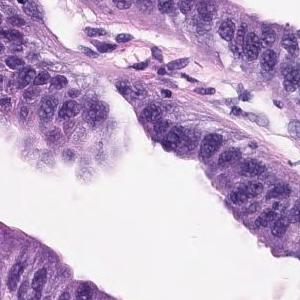
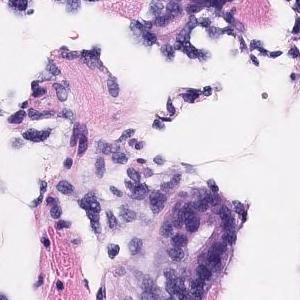
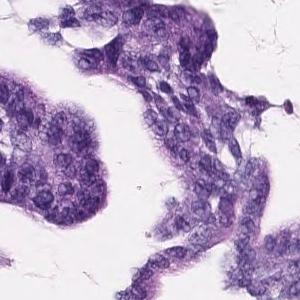
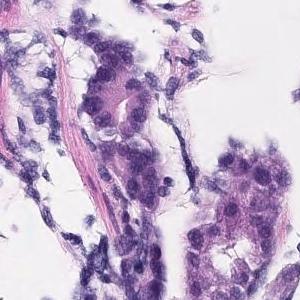
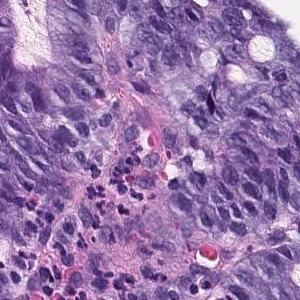
5 image tiles from a single gastric biopsy slide · 300×300 px each · 20× magnification · H&E.
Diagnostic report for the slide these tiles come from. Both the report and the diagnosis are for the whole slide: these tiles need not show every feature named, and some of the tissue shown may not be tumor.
In the superficial epithelium, tumor tissue that invades by forming medium-sized to small, irregular ducts is observed. Well to moderately differentiated tubular adenocarcinoma.
